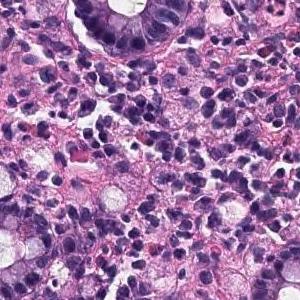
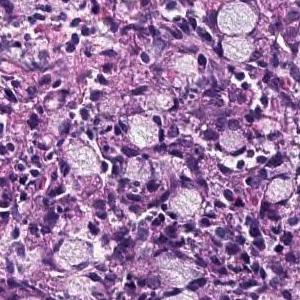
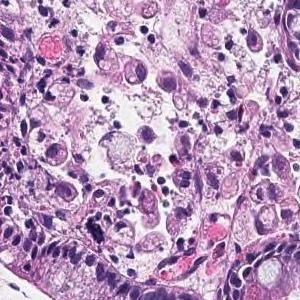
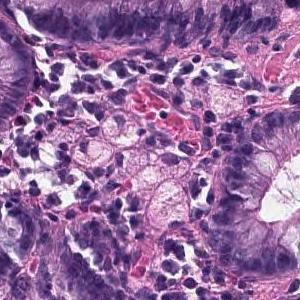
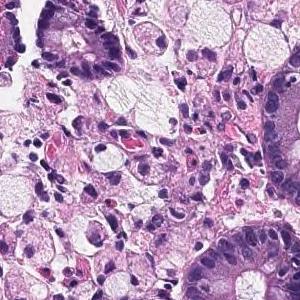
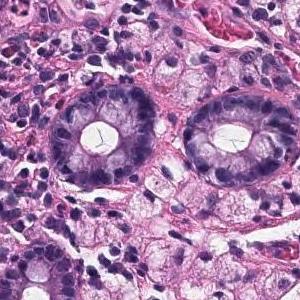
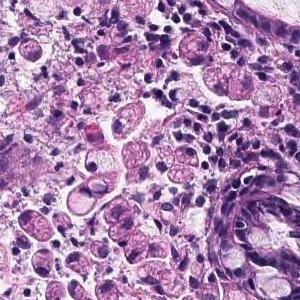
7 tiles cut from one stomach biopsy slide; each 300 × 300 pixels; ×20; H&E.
The pathologist's report on the biopsy slide these tiles were taken from. The report and the diagnosis cover the entire slide, so not every feature they name need be visible here, and some tissue shown may not be tumor.
A tumor tissue consisting of signet ring cell carcinoma cells is observed in the lamina propria. Signet ring cell carcinoma.
